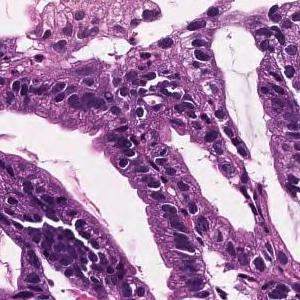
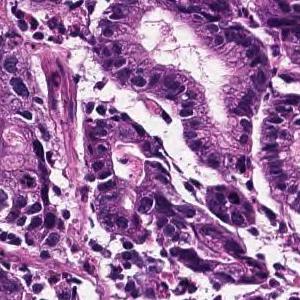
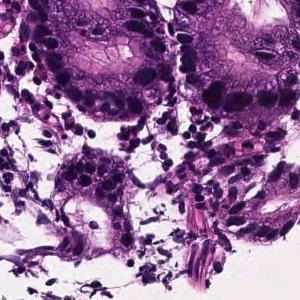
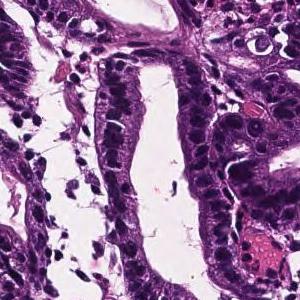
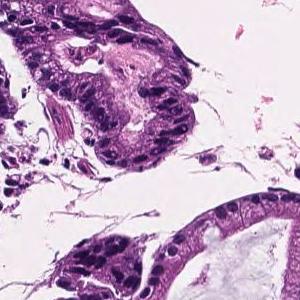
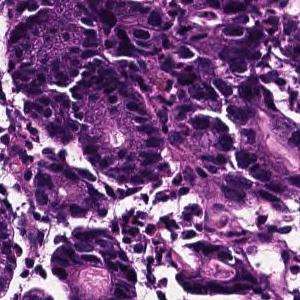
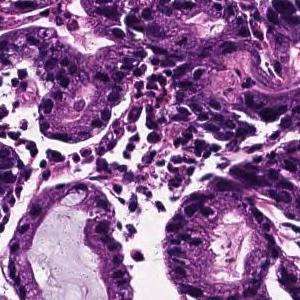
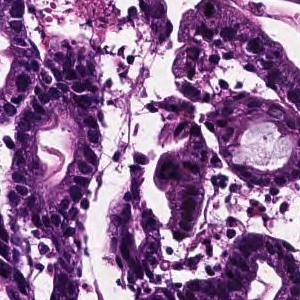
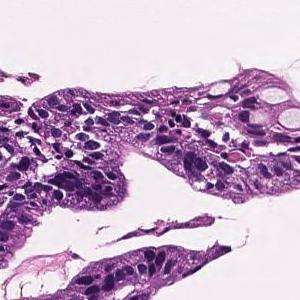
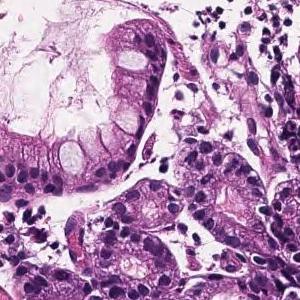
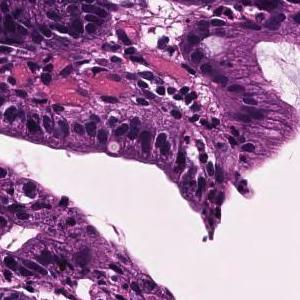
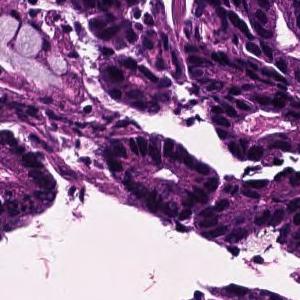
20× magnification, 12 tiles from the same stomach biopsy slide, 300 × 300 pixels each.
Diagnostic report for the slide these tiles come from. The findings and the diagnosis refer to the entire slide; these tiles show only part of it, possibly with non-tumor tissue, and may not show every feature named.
On the superficial epithelium, tumor tissue that infiltrates by forming medium-sized papillary or small irregular ducts is observed. Papillary adenocarcinoma
